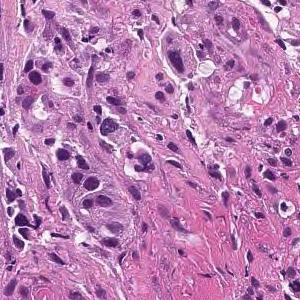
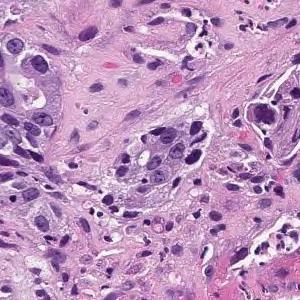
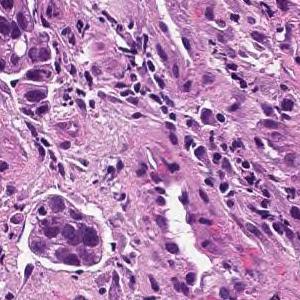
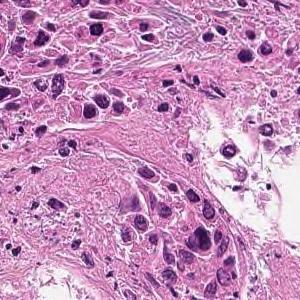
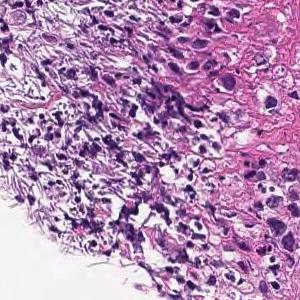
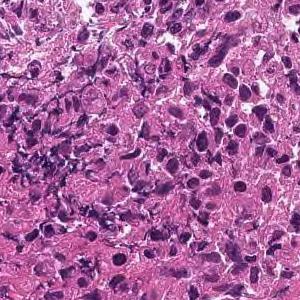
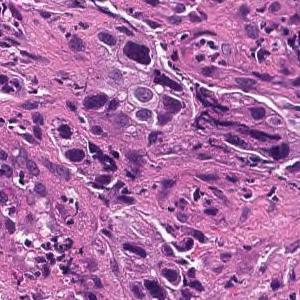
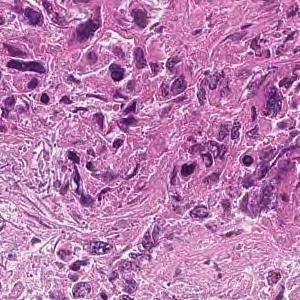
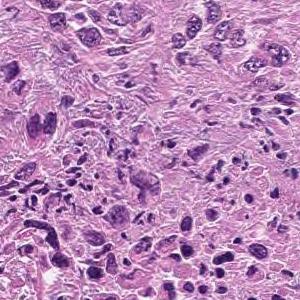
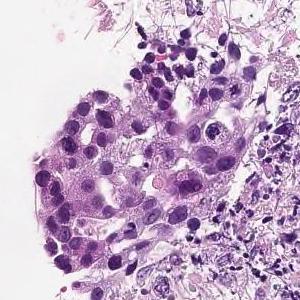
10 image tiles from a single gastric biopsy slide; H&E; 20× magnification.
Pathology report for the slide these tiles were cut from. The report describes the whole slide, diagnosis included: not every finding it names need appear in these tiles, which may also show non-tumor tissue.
Tumor tissue consisting of cord-like or small, irregular glandular ducts fused and infiltrated is observed in the superficial epithelium. Poorly differentiated adenocarcinoma, non-solid type
The non-solid type named here is a Japanese Classification of Gastric Carcinoma category.
